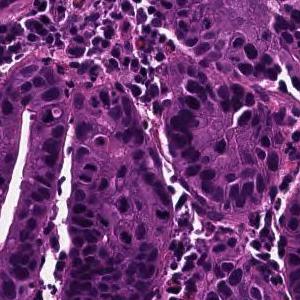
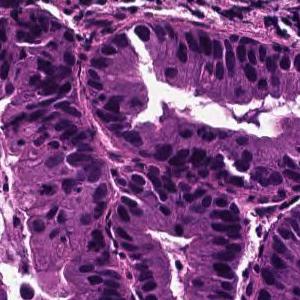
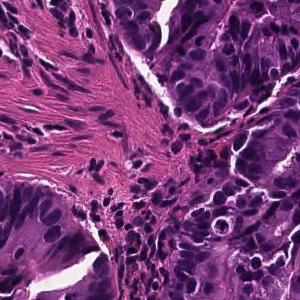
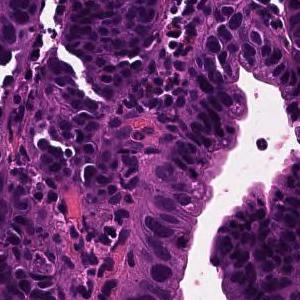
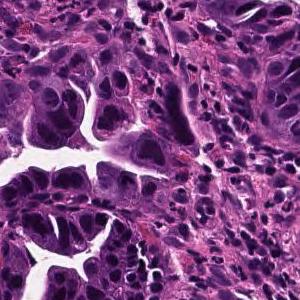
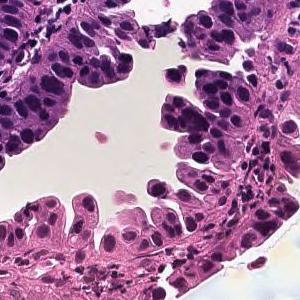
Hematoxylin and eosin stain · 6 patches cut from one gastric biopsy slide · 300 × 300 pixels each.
Pathology report for the slide these tiles were cut from. Both the report and the diagnosis are for the whole slide: these tiles need not show every feature named, and some of the tissue shown may not be tumor.
Tumor cells are large, highly columnar, large club-shaped nuclei, and are associated with chromatin aggregation. Papillary adenocarcinoma.
